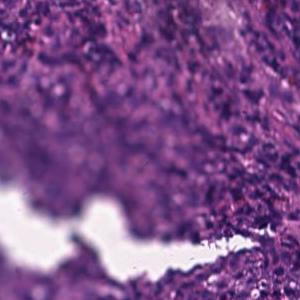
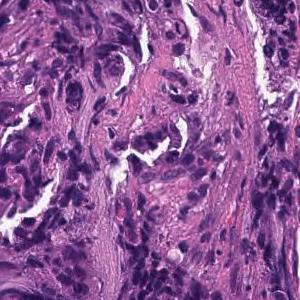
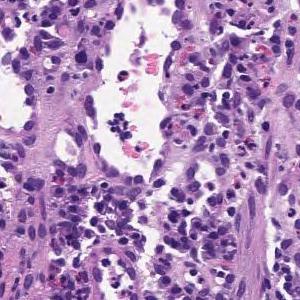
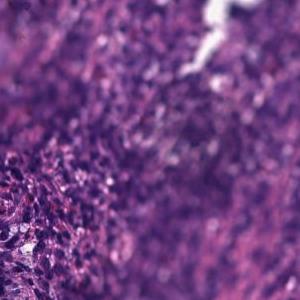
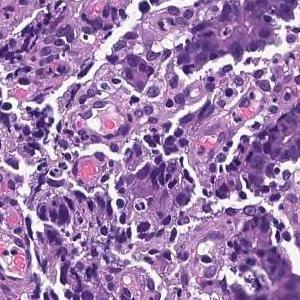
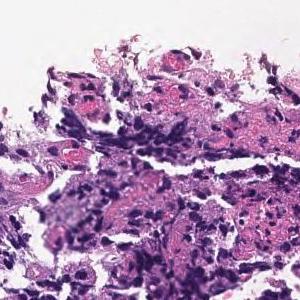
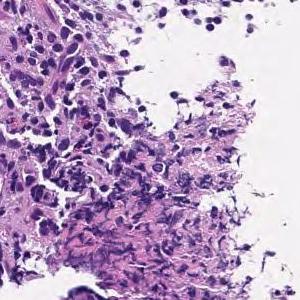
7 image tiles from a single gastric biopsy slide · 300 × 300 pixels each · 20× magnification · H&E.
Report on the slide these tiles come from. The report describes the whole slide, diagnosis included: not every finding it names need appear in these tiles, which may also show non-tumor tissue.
On the superficial epithelium, tumor tissue consisting of large irregular glandular ducts partially fused and infiltrated is observed. Well to moderately differentiated tubular adenocarcinoma (well differentiated tubular adenocarcinoma, moderately differentiated tubular adenocarcinoma)
Histologic type: Well to moderately differentiated tubular adenocarcinoma.
